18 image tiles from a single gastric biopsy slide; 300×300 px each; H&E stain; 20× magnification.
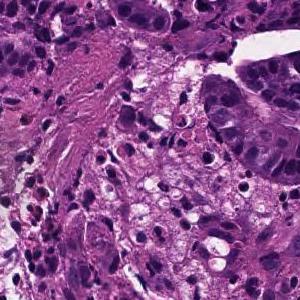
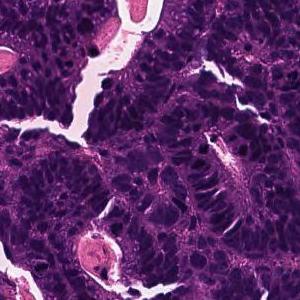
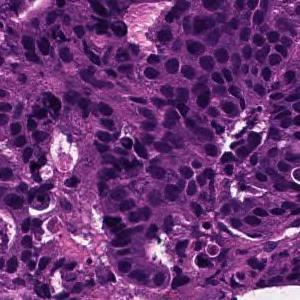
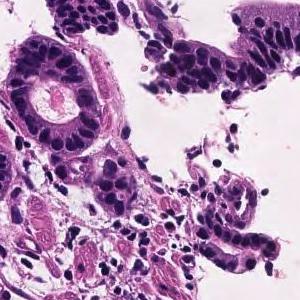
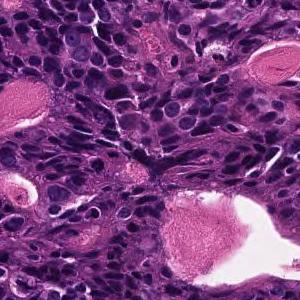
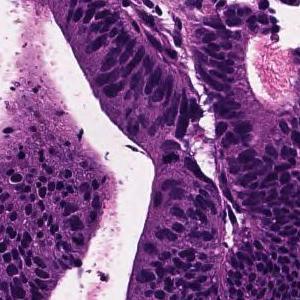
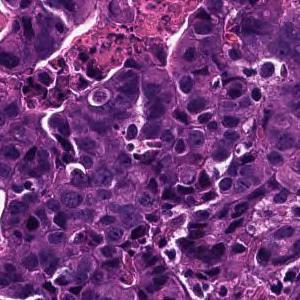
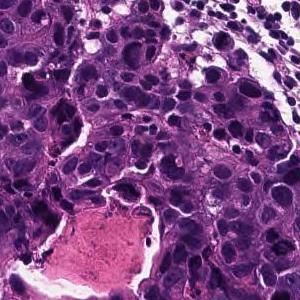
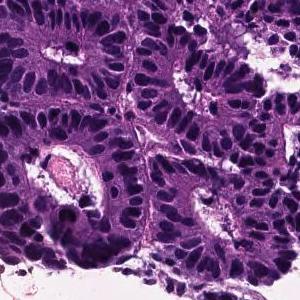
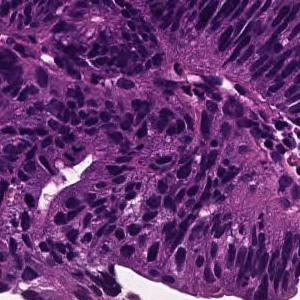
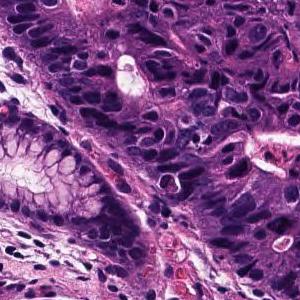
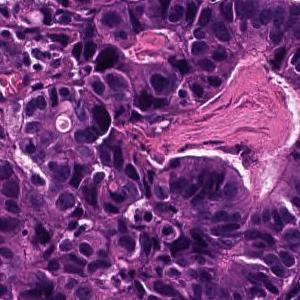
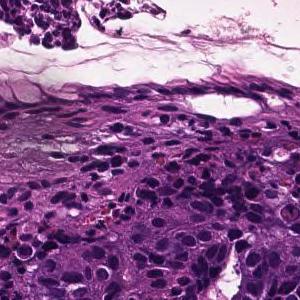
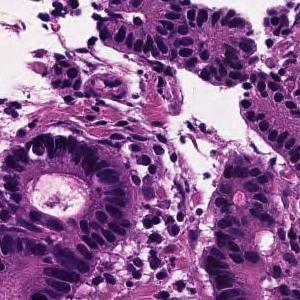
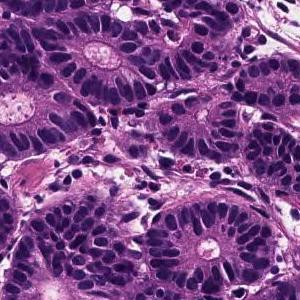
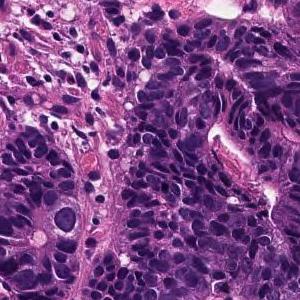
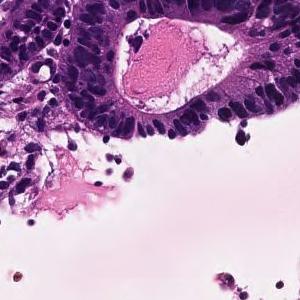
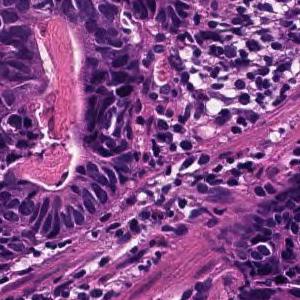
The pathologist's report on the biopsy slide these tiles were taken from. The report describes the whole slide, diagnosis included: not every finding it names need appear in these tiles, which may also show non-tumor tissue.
In the superficial epithelium, tumor tissue that invades by forming medium-sized to small, irregular ducts is observed. moderately differentiated tubular adenocarcinoma.
